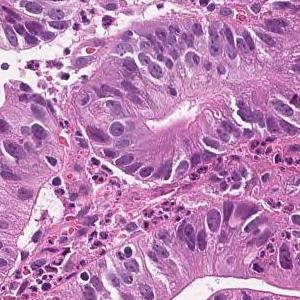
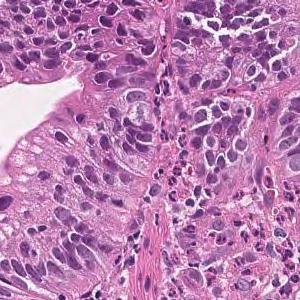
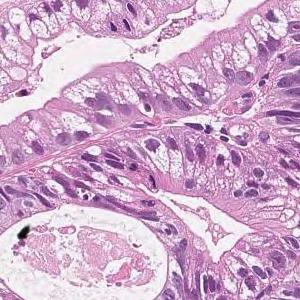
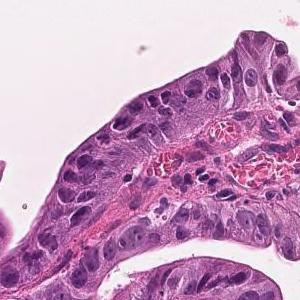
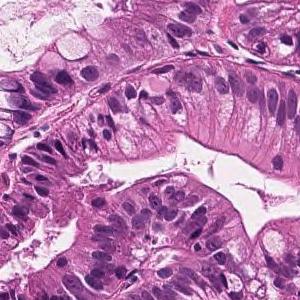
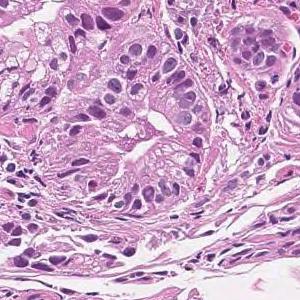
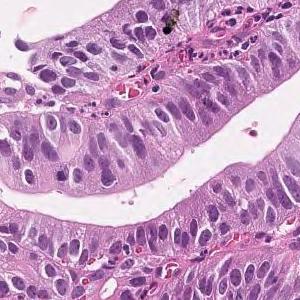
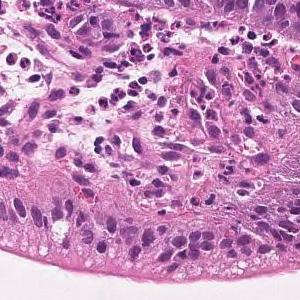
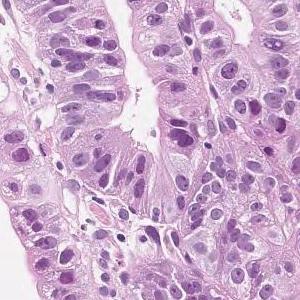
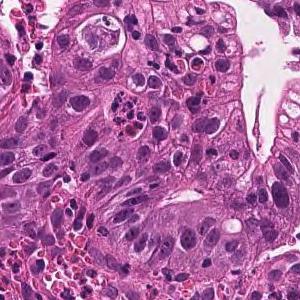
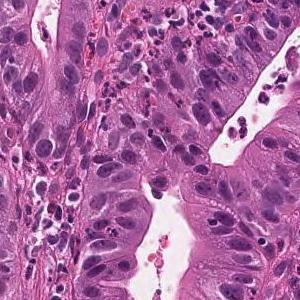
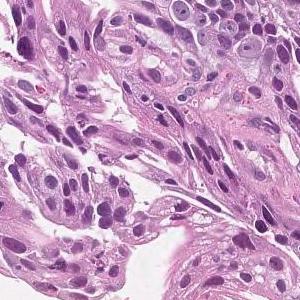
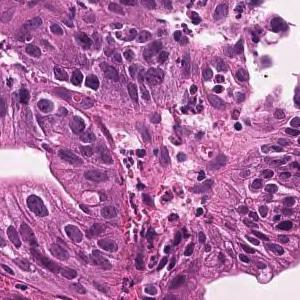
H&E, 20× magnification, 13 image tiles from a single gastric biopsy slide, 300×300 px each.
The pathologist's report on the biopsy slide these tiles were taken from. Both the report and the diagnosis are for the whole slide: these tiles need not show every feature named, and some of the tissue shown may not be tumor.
Tumor cells are large, highly columnar, large club-shaped nuclei, and are associated with chromatin aggregation. Papillary adenocarcinoma.
